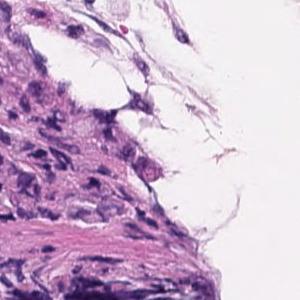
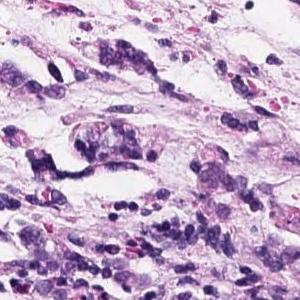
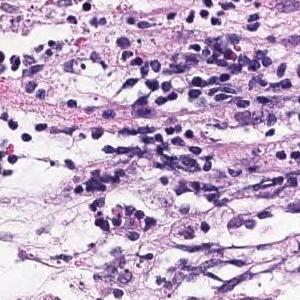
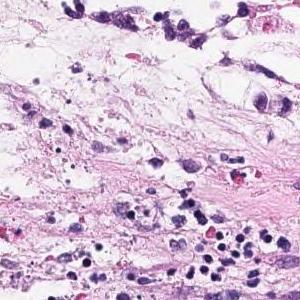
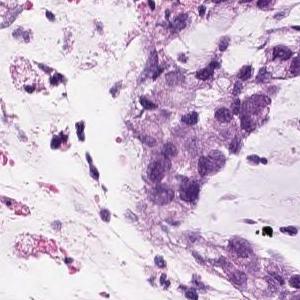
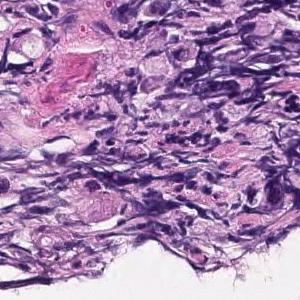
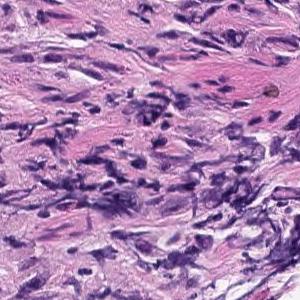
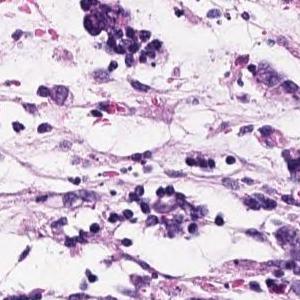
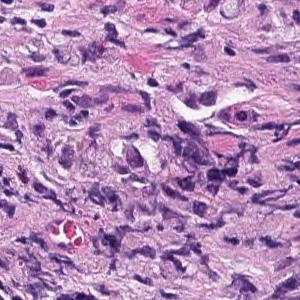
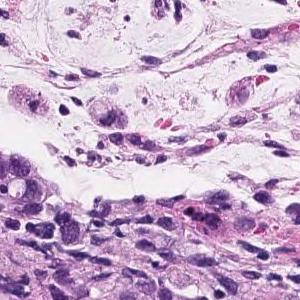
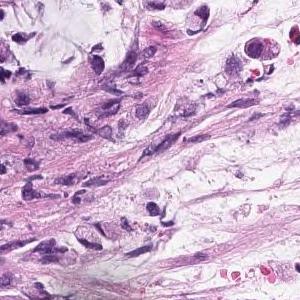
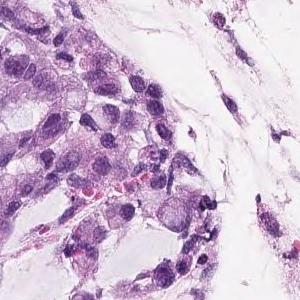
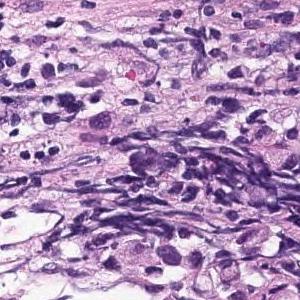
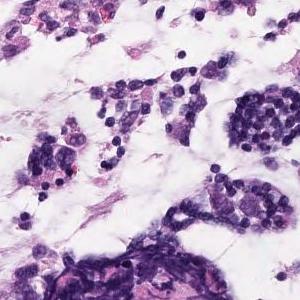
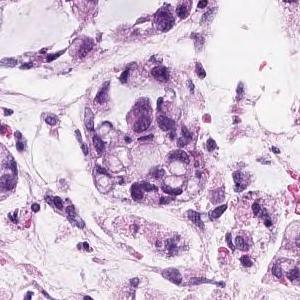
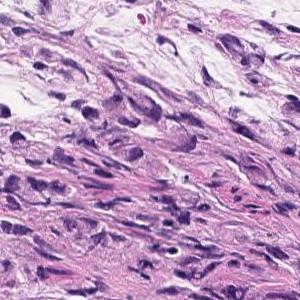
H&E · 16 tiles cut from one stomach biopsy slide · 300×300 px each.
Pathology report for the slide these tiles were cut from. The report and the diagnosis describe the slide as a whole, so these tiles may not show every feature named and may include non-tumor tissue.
Poorly connected atypical epithelium with mucous vacuoles in the cytoplasm proliferating while floating with mucus accumulation outside the cell is observed. Mucinous adenocarcinoma
